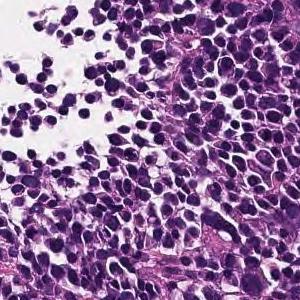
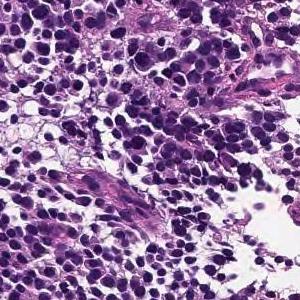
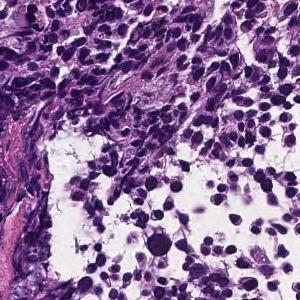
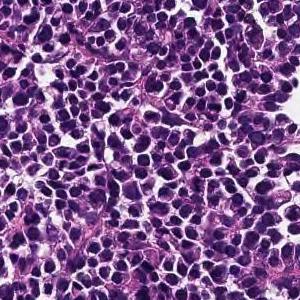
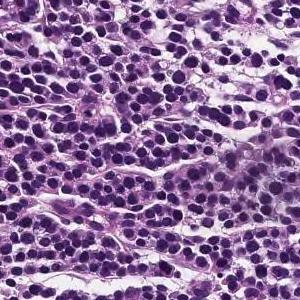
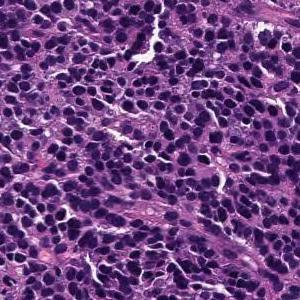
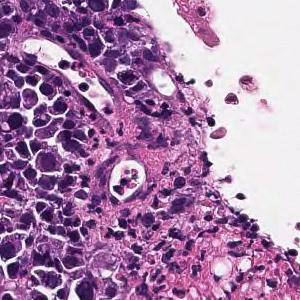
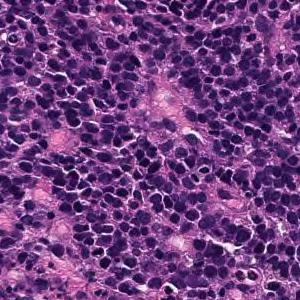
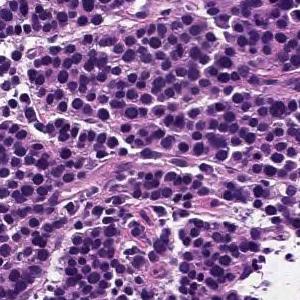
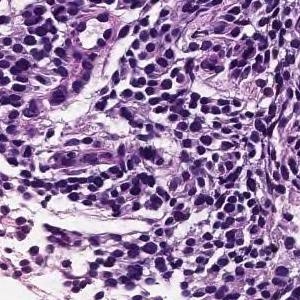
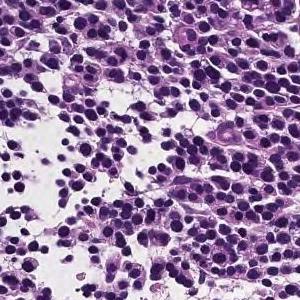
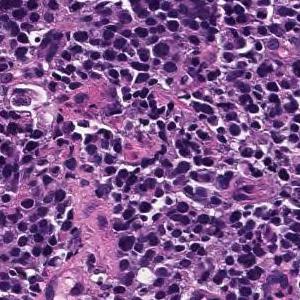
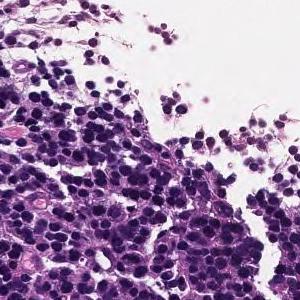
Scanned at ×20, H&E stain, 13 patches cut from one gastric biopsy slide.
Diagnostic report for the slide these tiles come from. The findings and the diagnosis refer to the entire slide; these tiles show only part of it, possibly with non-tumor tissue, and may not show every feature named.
Large sheet-like or diffusely infiltrating tumor tissue is found in the superficial epithelium. Poorly differentiated adenocarcinoma, solid-type
Tumor subtype: poorly differentiated adenocarcinoma, solid type (Japanese Classification of Gastric Carcinoma). The WHO 2019 equivalent is tubular adenocarcinoma, poorly differentiated.
